9 tiles cut from one stomach biopsy slide · 300 × 300 pixels each · hematoxylin and eosin stain · 20× magnification.
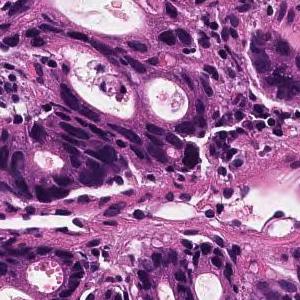
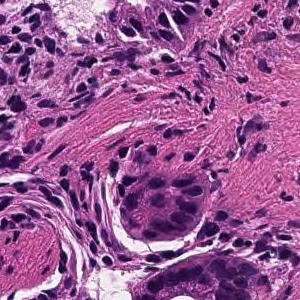
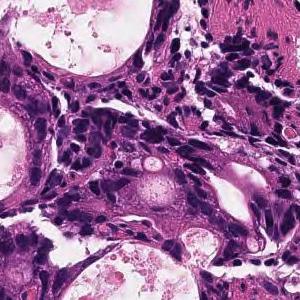
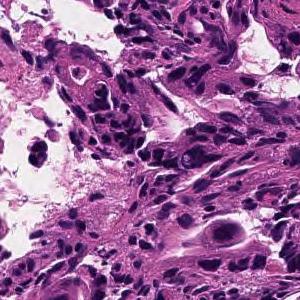
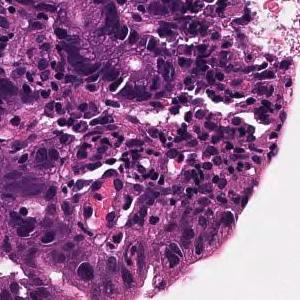
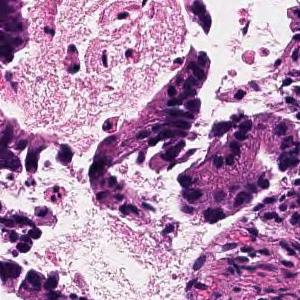
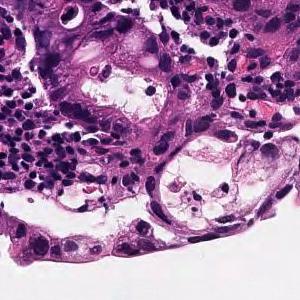
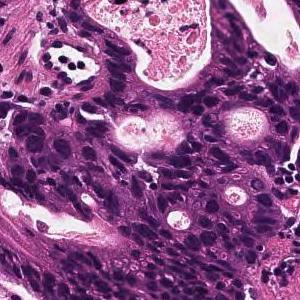
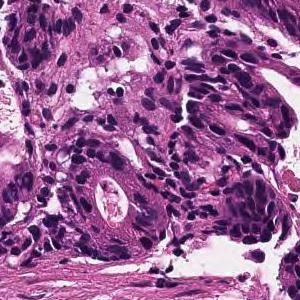
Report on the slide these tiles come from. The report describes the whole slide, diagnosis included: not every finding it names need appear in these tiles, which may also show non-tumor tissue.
In the superficial epithelium, tumor tissue that invades by forming medium-sized to small, irregular ducts is observed. moderately differentiated tubular adenocarcinoma.
